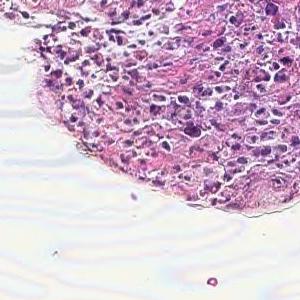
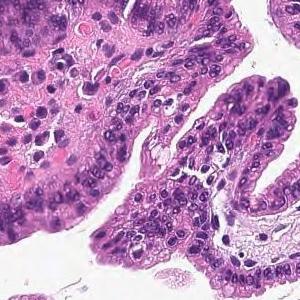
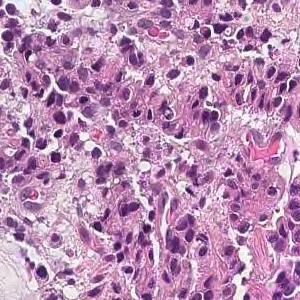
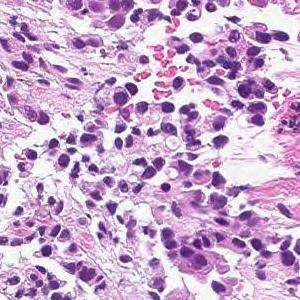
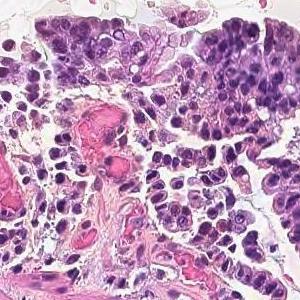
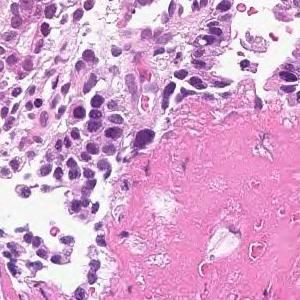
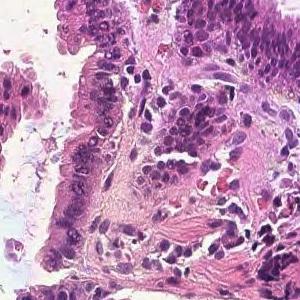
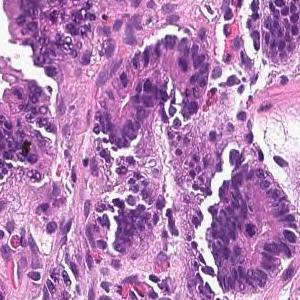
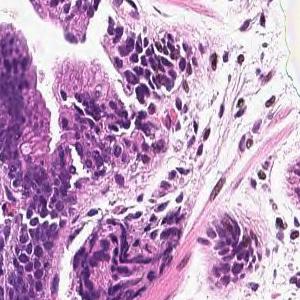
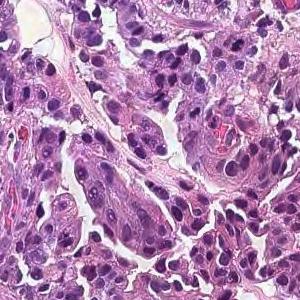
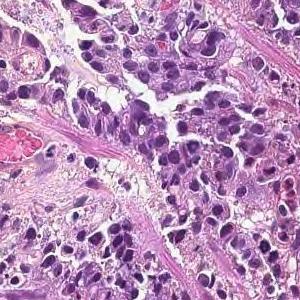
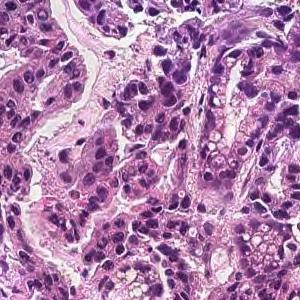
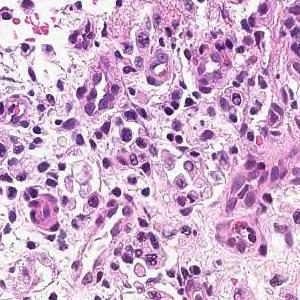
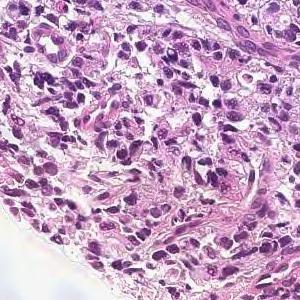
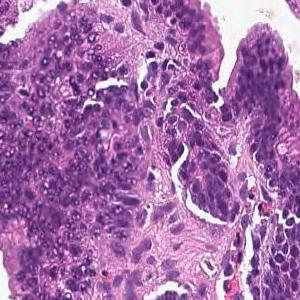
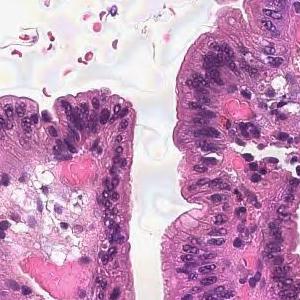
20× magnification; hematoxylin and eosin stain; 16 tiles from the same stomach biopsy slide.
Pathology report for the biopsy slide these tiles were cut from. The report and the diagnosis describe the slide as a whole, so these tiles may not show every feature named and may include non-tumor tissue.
Tumor tissue consisting of medium-sized, cord-like or irregular glandular infiltration is observed in the superficial epithelium. Poorly differentiated adenocarcinoma, non-solid type or moderately differentiated tubular adenocarcinoma
Tumor subtype: moderately to poorly differentiated adenocarcinoma.
"Non-solid type" is a category of the Japanese Classification of Gastric Carcinoma.
